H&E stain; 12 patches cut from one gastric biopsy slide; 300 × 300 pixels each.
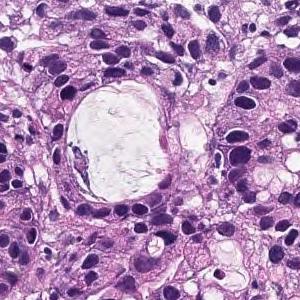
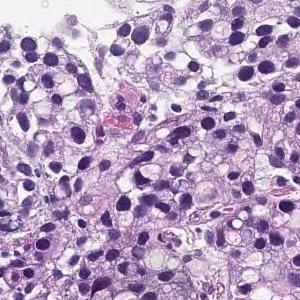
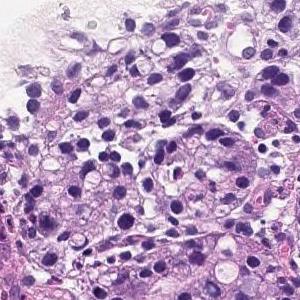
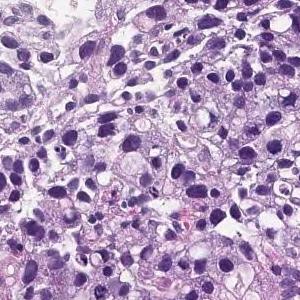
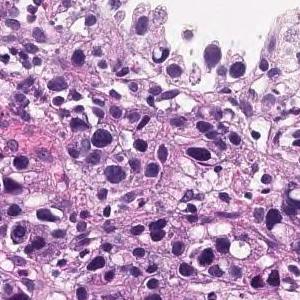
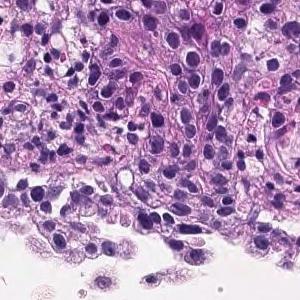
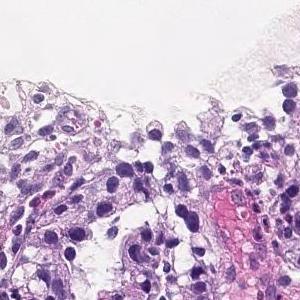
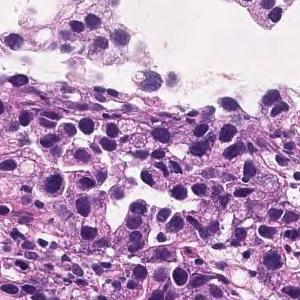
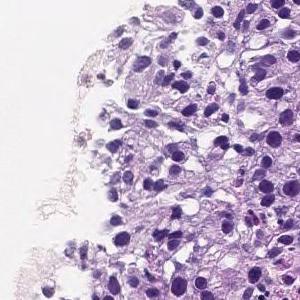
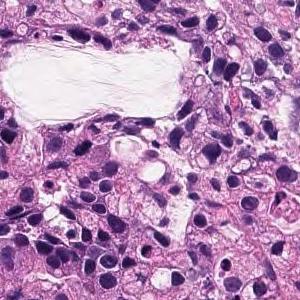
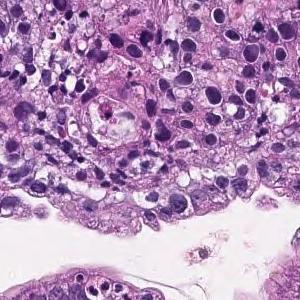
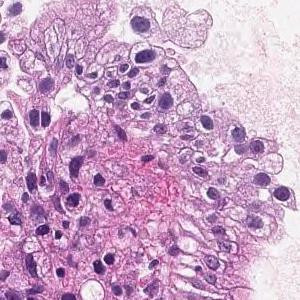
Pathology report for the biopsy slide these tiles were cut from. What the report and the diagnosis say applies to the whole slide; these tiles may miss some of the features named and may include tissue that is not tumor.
In the superficial epithelium, tumor tissue that invades by forming medium-sized to small, irregular ducts is observed. moderately differentiated tubular adenocarcinoma.
